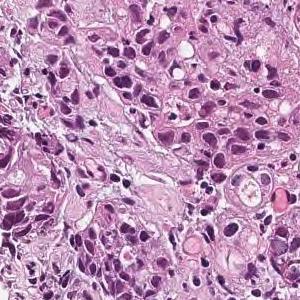
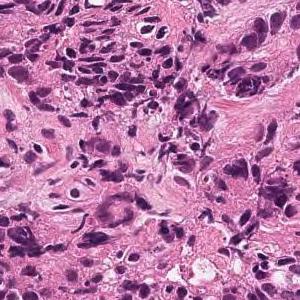
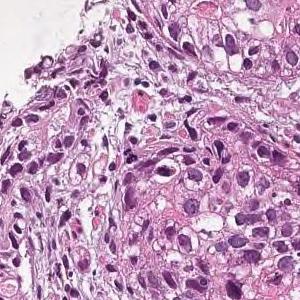
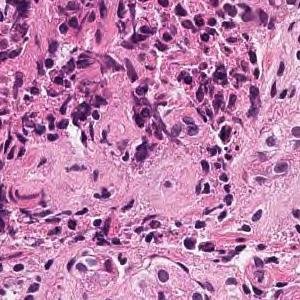
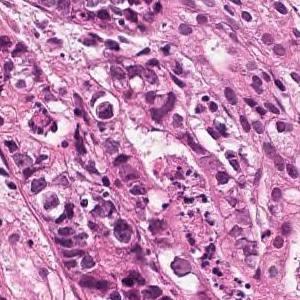
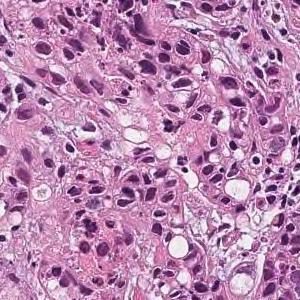
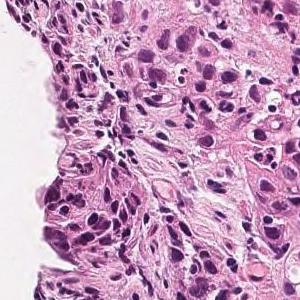
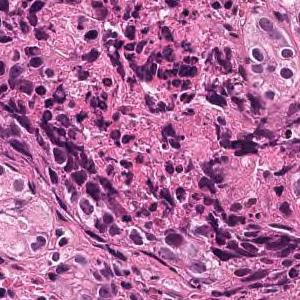
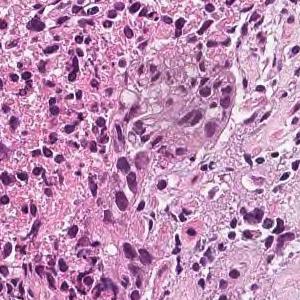
H&E; 9 tiles cut from one stomach biopsy slide.
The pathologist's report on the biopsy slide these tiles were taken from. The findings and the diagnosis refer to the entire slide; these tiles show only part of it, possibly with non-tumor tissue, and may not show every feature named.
Medium to small, irregular glandular ducts are formed in the superficial epithelium, and in some cases, the glandular ducts are fused to show solid alveolar lesions and infiltrating tumor tissue is observed. Moderately to poorly differentiated adenocarcinoma.
